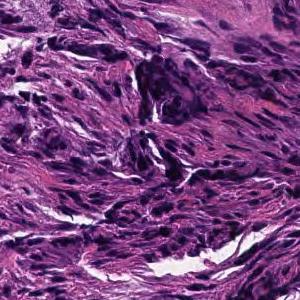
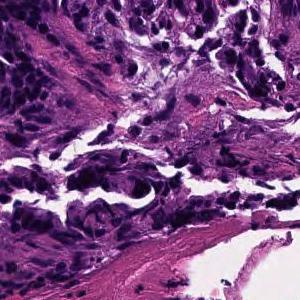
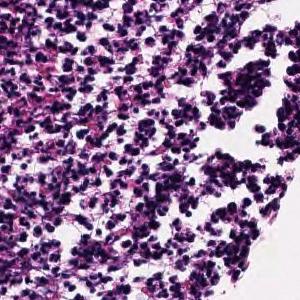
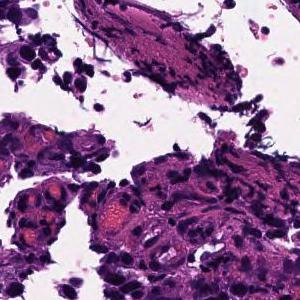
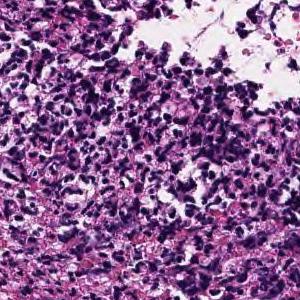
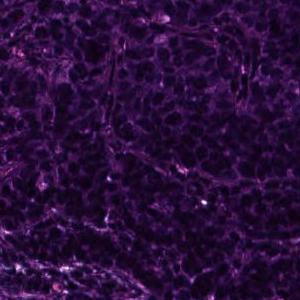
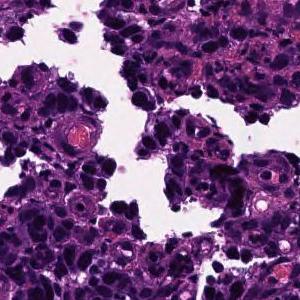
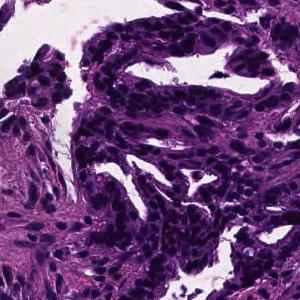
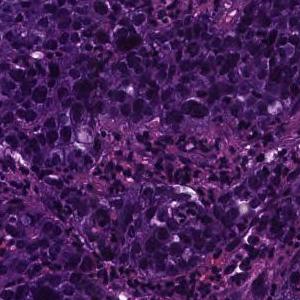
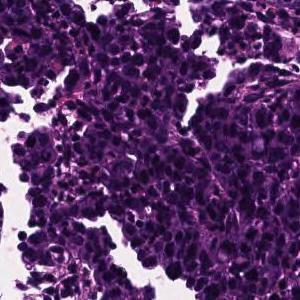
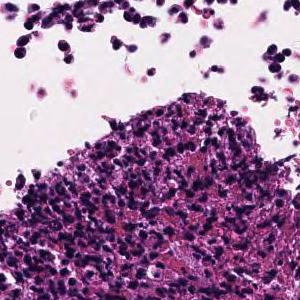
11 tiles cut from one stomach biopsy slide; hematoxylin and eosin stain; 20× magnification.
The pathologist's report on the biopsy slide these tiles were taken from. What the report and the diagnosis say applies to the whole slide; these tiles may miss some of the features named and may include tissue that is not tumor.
In the superficial epithelium, tumor tissue that invades by forming medium-sized to small, irregular ducts is observed. moderately differentiated tubular adenocarcinoma.
